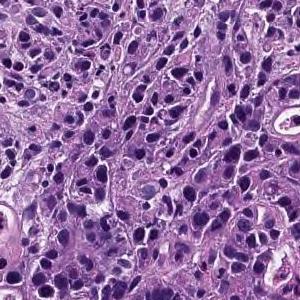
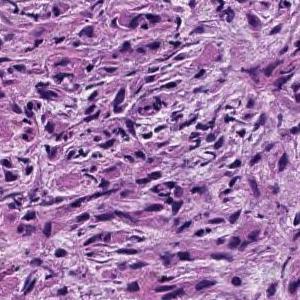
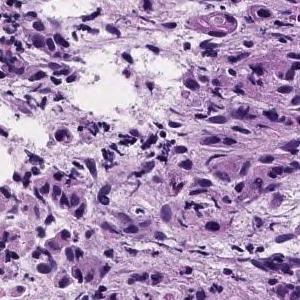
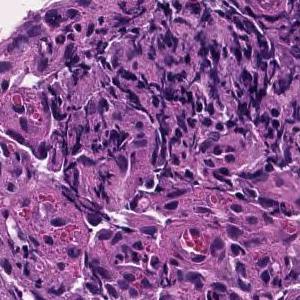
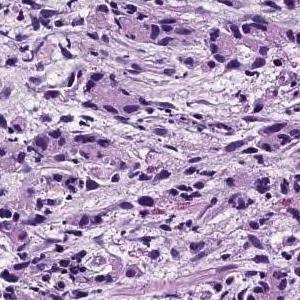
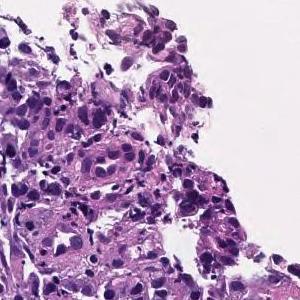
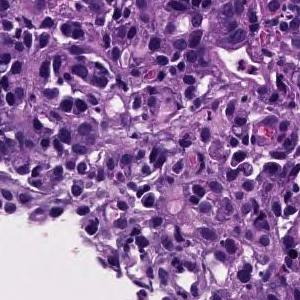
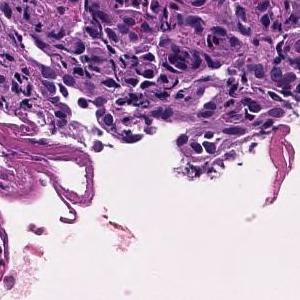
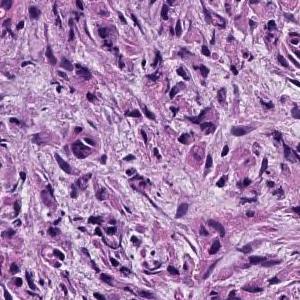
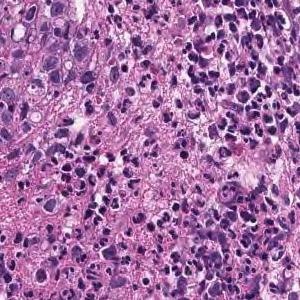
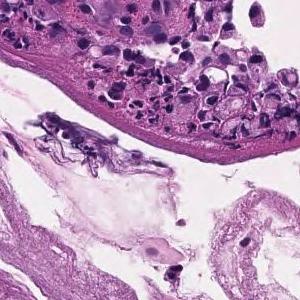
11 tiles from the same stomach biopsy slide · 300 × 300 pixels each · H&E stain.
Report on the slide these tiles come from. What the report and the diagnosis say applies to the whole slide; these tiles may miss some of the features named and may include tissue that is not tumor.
The superficial epithelium shows a large sheet-like shape, and some tumor tissue infiltrates with small irregular ducts. Poorly differentiated adenocarcinoma, solid-type
Subtype: Poorly differentiated adenocarcinoma, solid type (Japanese Classification of Gastric Carcinoma). The WHO 2019 equivalent is tubular adenocarcinoma, poorly differentiated.
